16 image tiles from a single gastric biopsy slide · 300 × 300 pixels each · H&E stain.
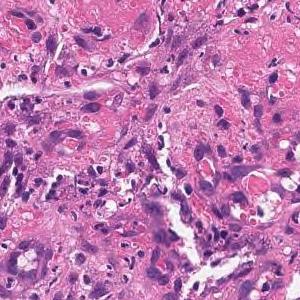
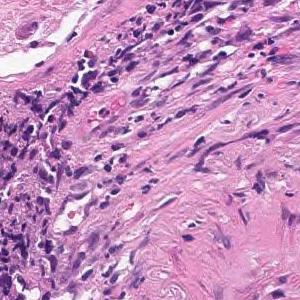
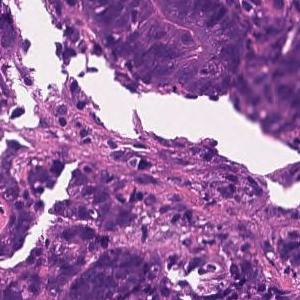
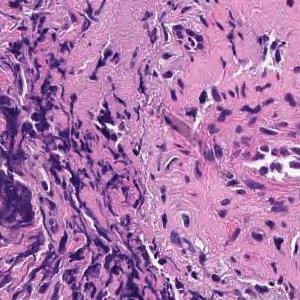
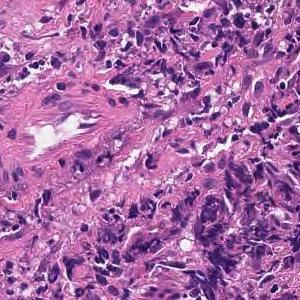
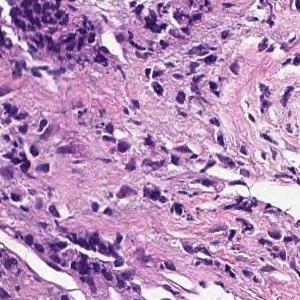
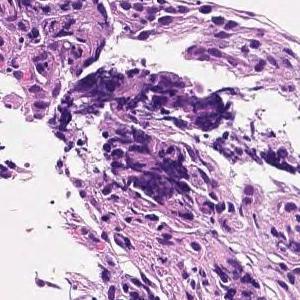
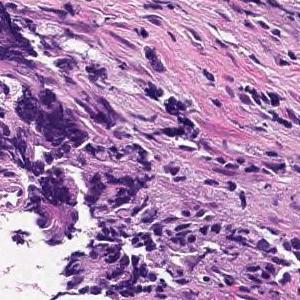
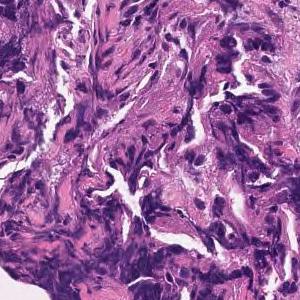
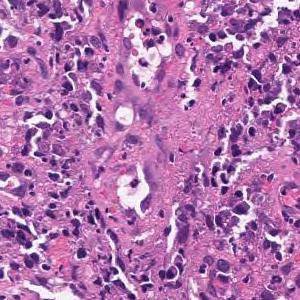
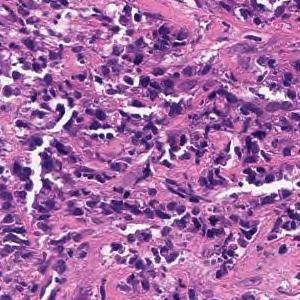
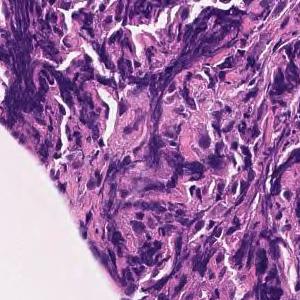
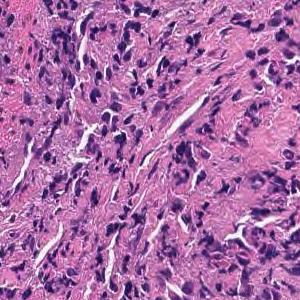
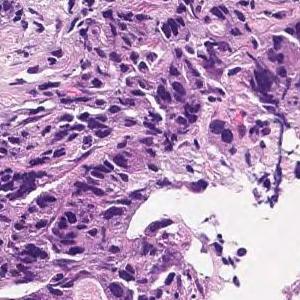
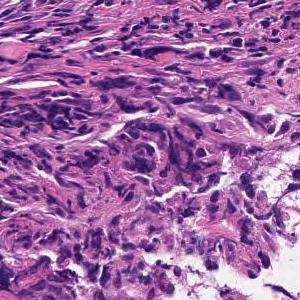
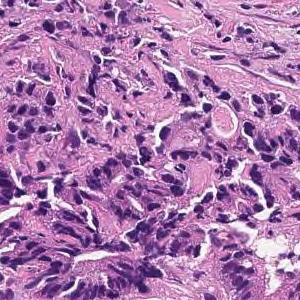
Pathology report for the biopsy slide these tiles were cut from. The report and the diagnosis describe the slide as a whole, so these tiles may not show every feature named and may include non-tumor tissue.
Tumor tissue consisting of medium-sized, cord-like or irregular glandular infiltration is observed in the superficial epithelium. Poorly differentiated adenocarcinoma, non-solid type or moderately differentiated tubular adenocarcinoma
Histological subtype: Moderately to poorly differentiated adenocarcinoma.
The term "non-solid type" comes from the Japanese Classification of Gastric Carcinoma.
